Scanned at ×20, 14 image tiles from a single gastric biopsy slide, 300×300 px each.
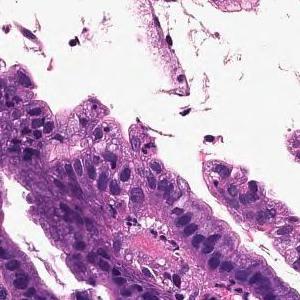
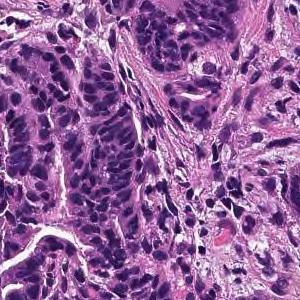
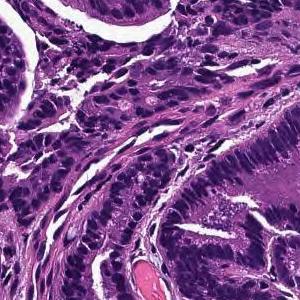
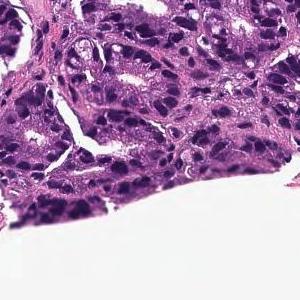
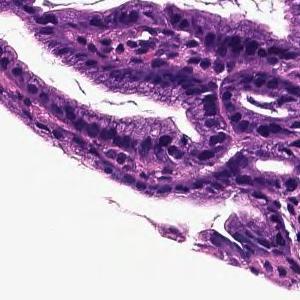
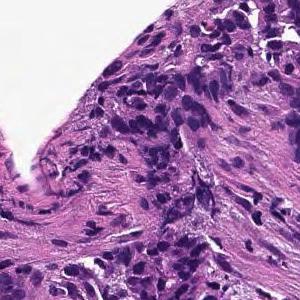
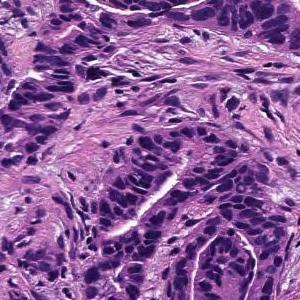
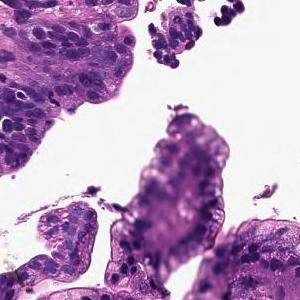
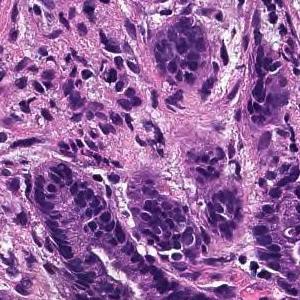
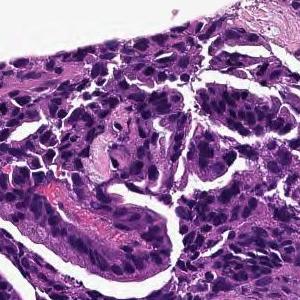
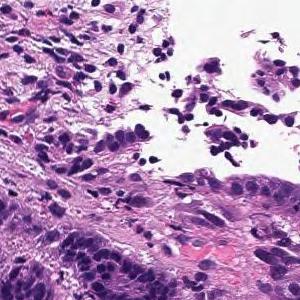
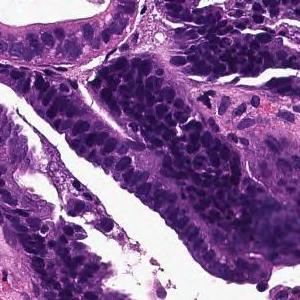
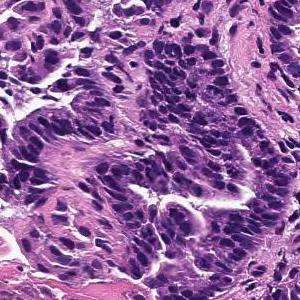
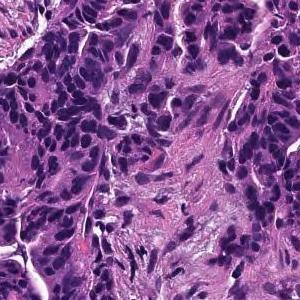
Pathology report for the biopsy slide these tiles were cut from. The report and the diagnosis describe the slide as a whole, so these tiles may not show every feature named and may include non-tumor tissue.
From the superficial epithelium to the muscularis mucosae, tumor tissue consisting of medium-sized and irregular glandular ducts infiltrating is observed. Well differentiated tubular adenocarcinoma
